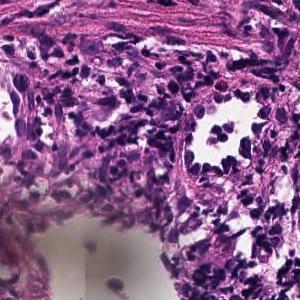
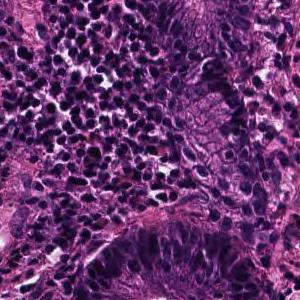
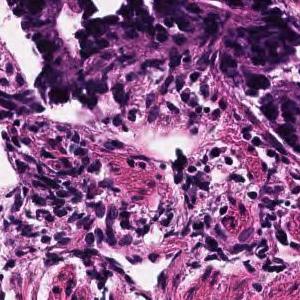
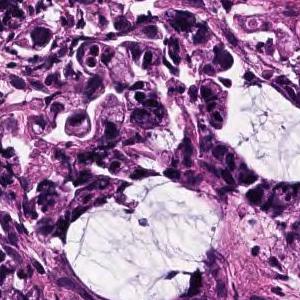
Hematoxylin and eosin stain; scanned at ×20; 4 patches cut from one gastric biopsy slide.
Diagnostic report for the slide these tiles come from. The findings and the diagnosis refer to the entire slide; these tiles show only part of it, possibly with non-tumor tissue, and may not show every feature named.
On the superficial epithelium, tumor tissue consisting of large, irregular glandular ducts partially fused and infiltrated is observed. Well to moderately differentiated tubular adenocarcinoma (well differentiated tubular adenocarcinoma, moderately differentiated tubular adenocarcinoma)
Tumor subtype: well to moderately differentiated tubular adenocarcinoma.
